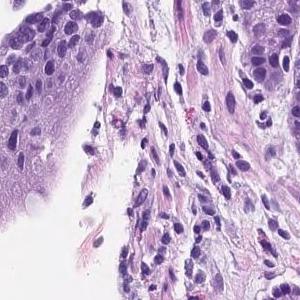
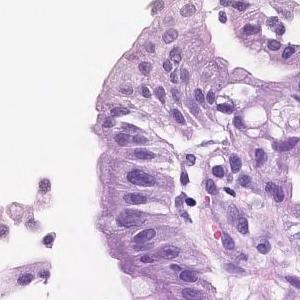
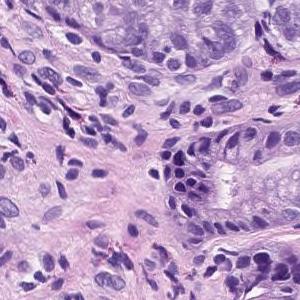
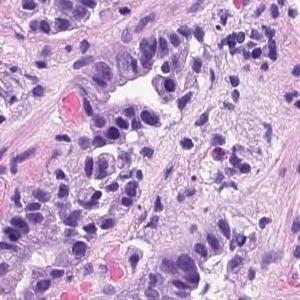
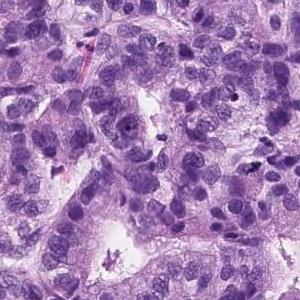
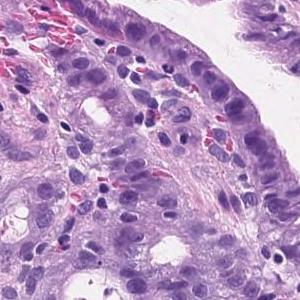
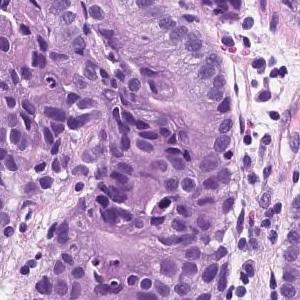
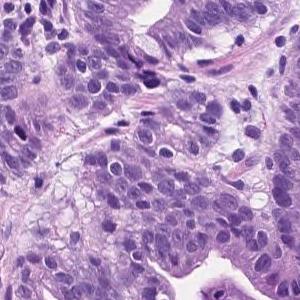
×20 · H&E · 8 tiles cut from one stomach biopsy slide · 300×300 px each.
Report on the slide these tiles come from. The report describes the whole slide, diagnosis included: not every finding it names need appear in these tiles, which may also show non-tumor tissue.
Tumor tissue consisting of medium-sized and irregular ducts is observed infiltrating in the superficial epithelium. Tumor cells are highly columnar, with nuclei aligned basolaterally and polarized. Well differentiated tubular adenocarcinoma.
